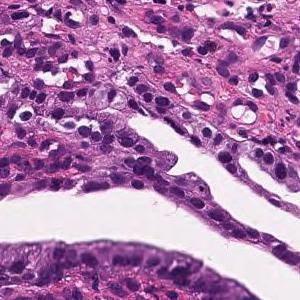
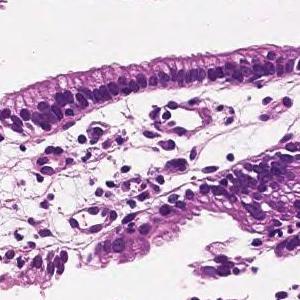
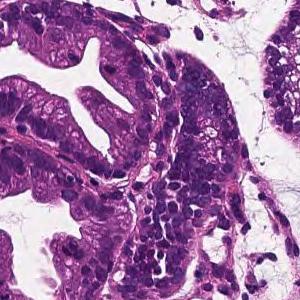
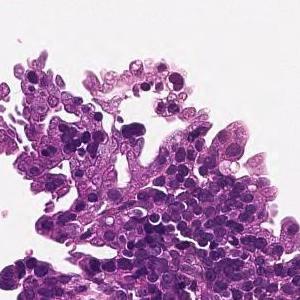
H&E, 4 image tiles from a single gastric biopsy slide.
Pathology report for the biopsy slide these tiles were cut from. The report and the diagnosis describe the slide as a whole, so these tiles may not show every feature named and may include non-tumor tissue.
On the superficial epithelium, tumor tissue that infiltrates by forming medium-sized papillary or small irregular ducts is observed. Papillary adenocarcinoma
